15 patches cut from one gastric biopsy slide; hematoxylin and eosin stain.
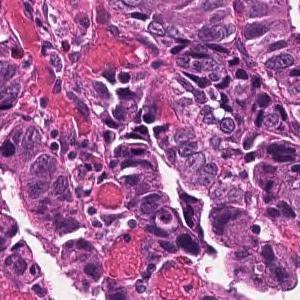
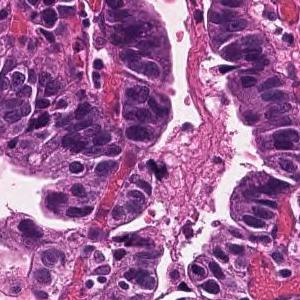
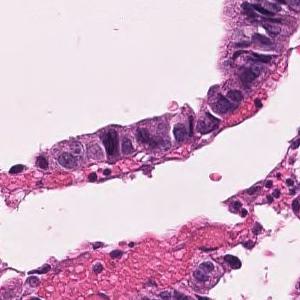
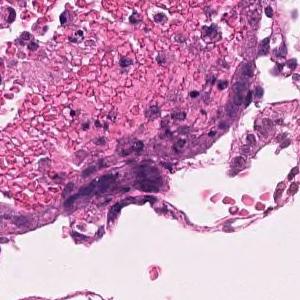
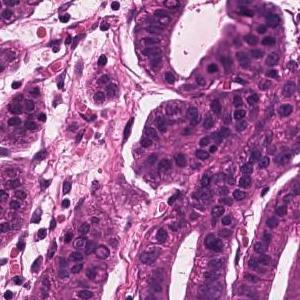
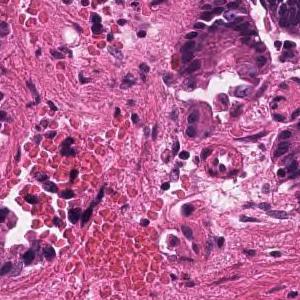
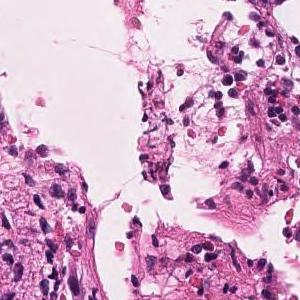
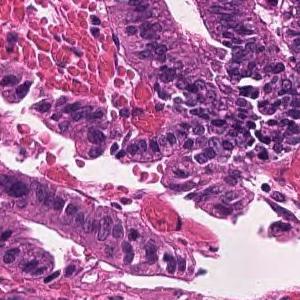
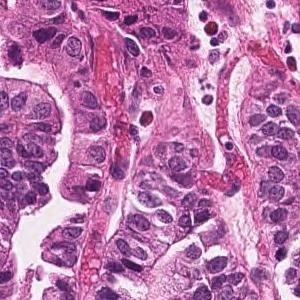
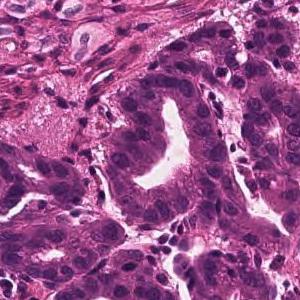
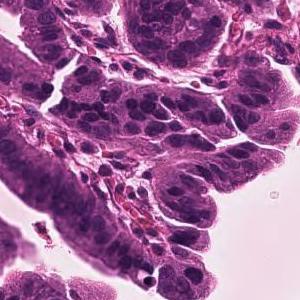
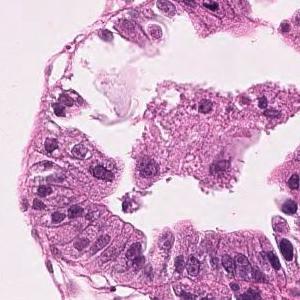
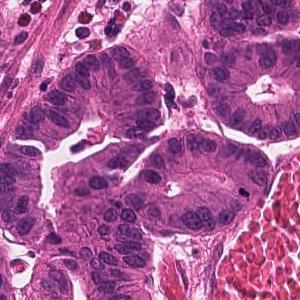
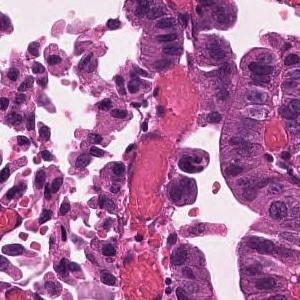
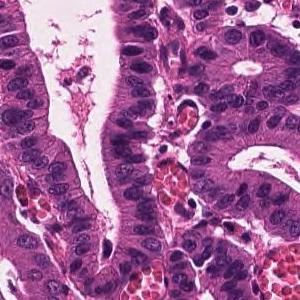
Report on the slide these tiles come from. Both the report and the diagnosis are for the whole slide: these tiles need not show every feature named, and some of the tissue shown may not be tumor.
Infiltrating tumor tissue with medium-sized, irregular ductal structure or large papillary appearance is observed. Well differentiated tubular adenocarcinoma
